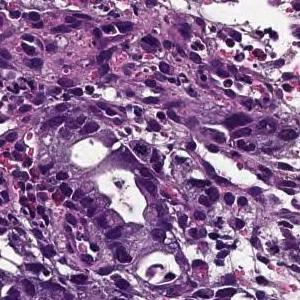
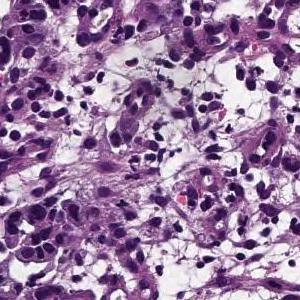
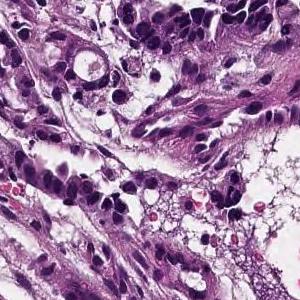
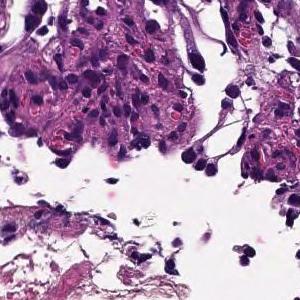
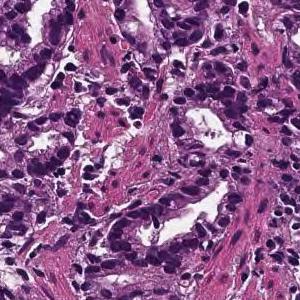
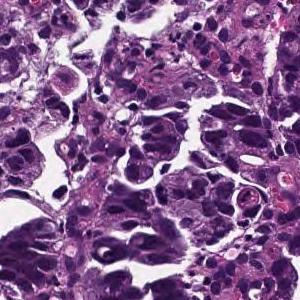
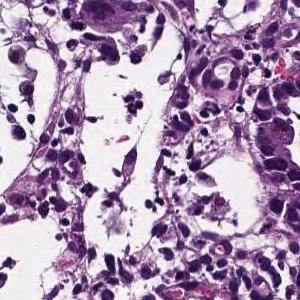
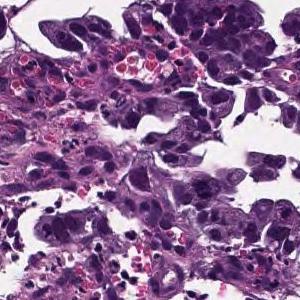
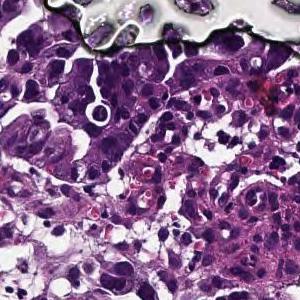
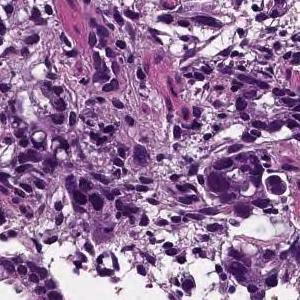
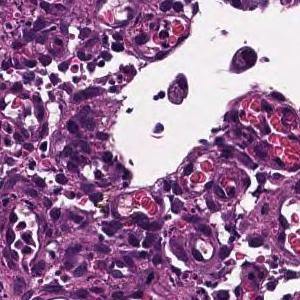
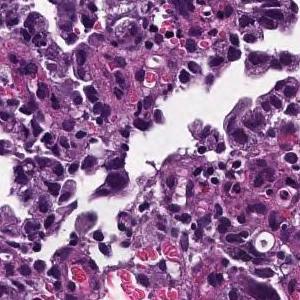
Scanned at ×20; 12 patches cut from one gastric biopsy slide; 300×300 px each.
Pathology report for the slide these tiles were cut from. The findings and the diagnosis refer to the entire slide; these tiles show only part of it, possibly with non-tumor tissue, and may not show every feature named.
Medium to small, irregular glandular ducts are formed in the superficial epithelium, and in some cases, the glandular ducts are fused to show solid alveolar lesions and infiltrating tumor tissue is observed. Moderately to poorly differentiated adenocarcinoma.
